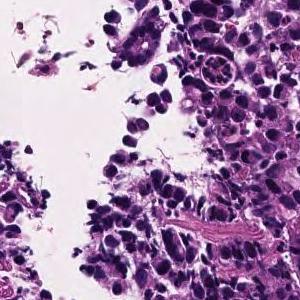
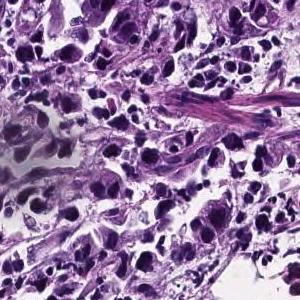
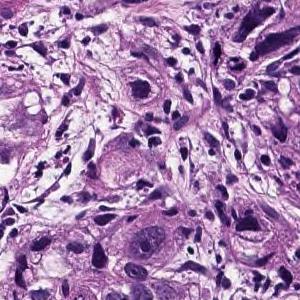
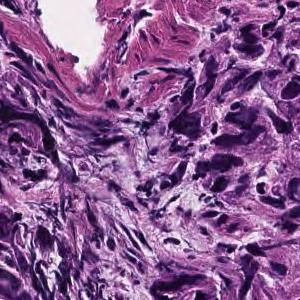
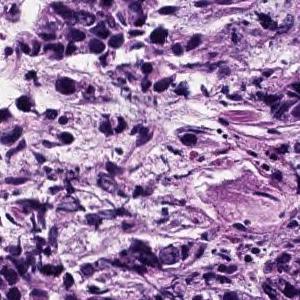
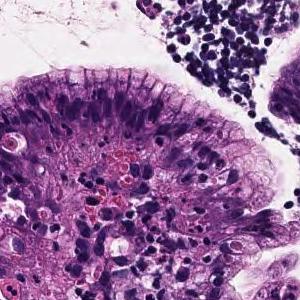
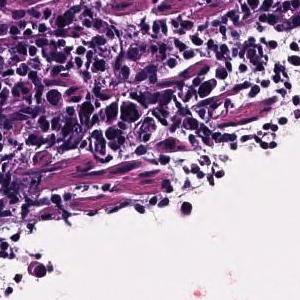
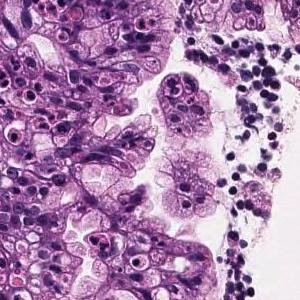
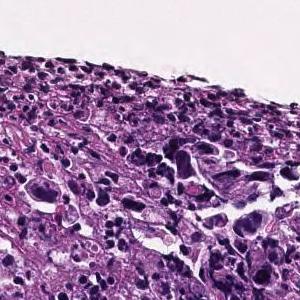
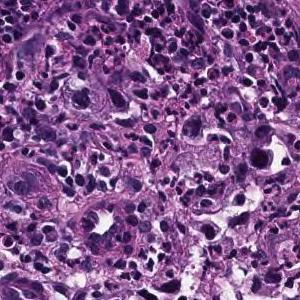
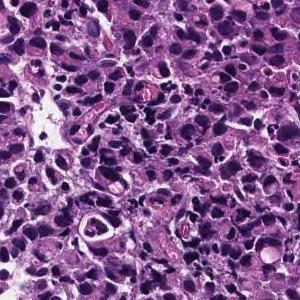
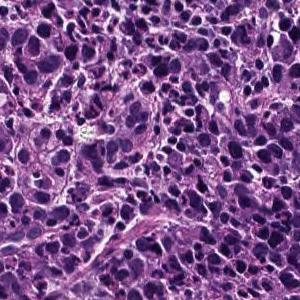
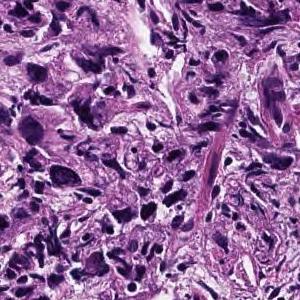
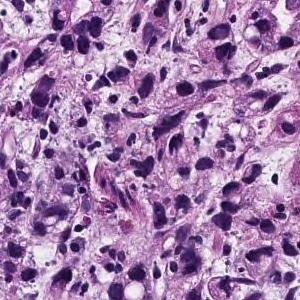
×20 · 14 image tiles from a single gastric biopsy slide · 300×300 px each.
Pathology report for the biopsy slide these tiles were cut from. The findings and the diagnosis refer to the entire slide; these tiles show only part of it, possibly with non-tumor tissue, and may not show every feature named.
The superficial epithelium shows a large sheet-like shape, and some tumor tissue infiltrates with small irregular ducts. Poorly differentiated adenocarcinoma, solid-type
Tumor subtype: poorly differentiated adenocarcinoma, solid type, a category of the Japanese Classification of Gastric Carcinoma; in the WHO 2019 classification it is tubular adenocarcinoma, poorly differentiated.
